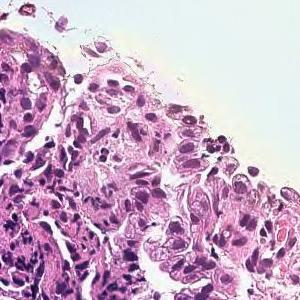
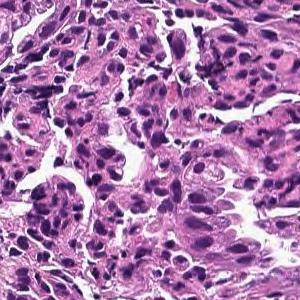
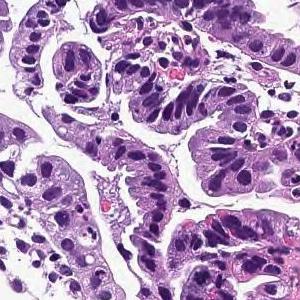
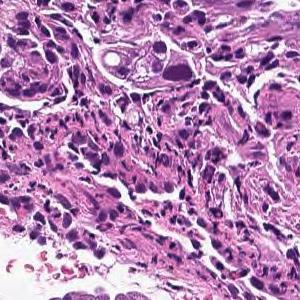
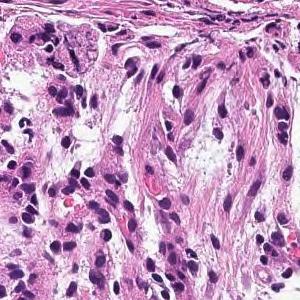
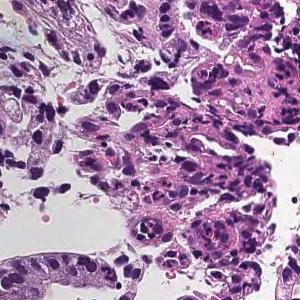
Hematoxylin and eosin stain · 6 tiles cut from one stomach biopsy slide · 300 × 300 pixels each.
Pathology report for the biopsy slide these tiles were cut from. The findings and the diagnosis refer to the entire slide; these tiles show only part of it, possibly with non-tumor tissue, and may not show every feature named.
On the superficial epithelium, tumor tissue that infiltrates by forming medium-sized papillary or small irregular ducts is observed. Papillary adenocarcinoma
